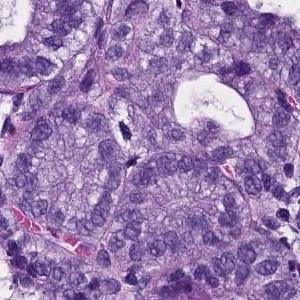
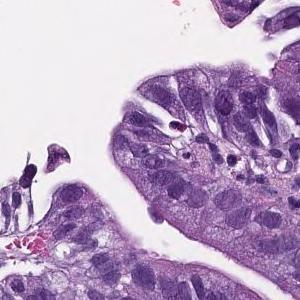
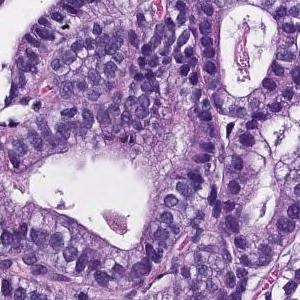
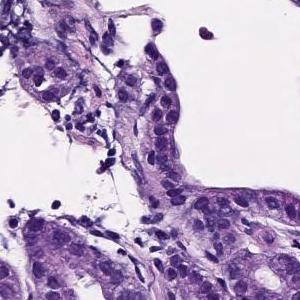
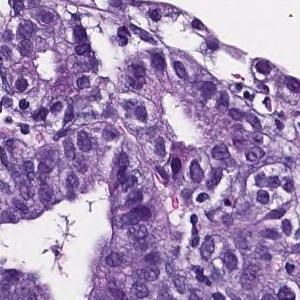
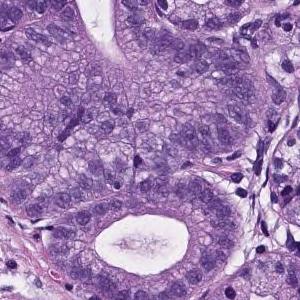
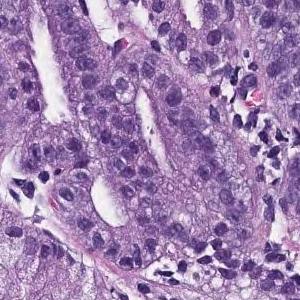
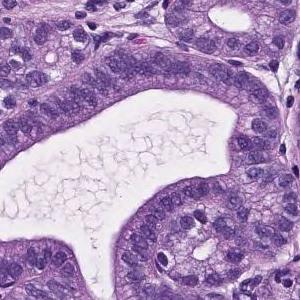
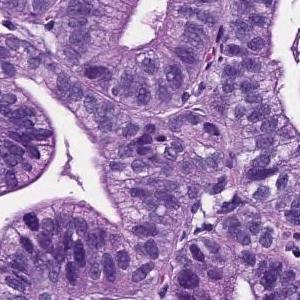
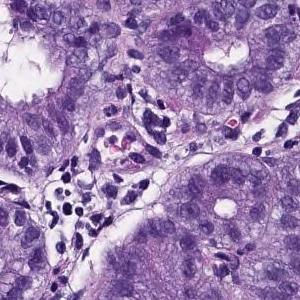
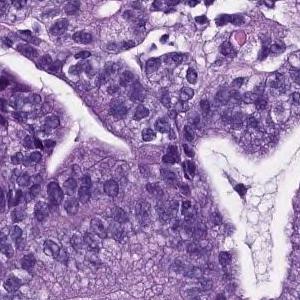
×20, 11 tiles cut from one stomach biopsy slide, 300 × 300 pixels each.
Report on the slide these tiles come from. The findings and the diagnosis refer to the entire slide; these tiles show only part of it, possibly with non-tumor tissue, and may not show every feature named.
On the superficial epithelium, tumor tissue that infiltrates by forming medium-sized papillary or small irregular ducts is observed. Papillary adenocarcinoma
